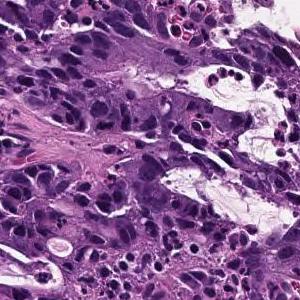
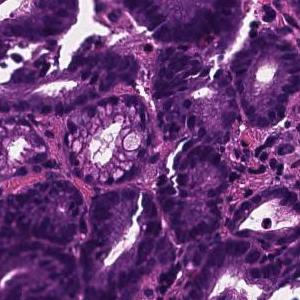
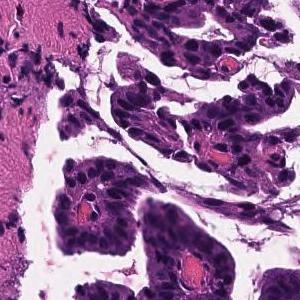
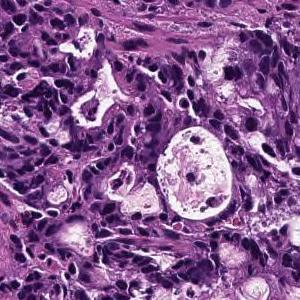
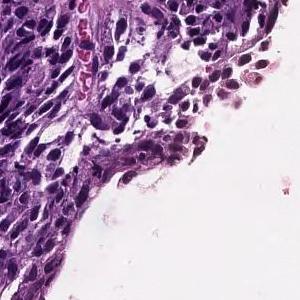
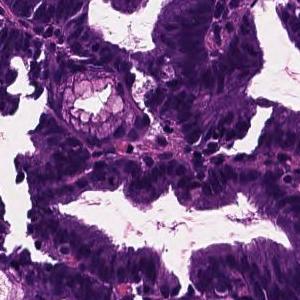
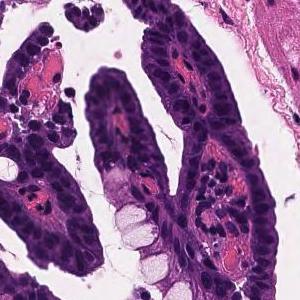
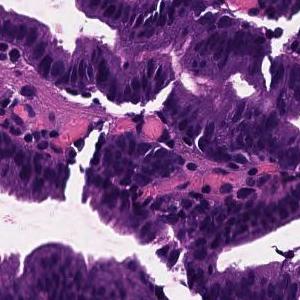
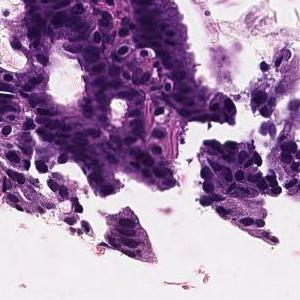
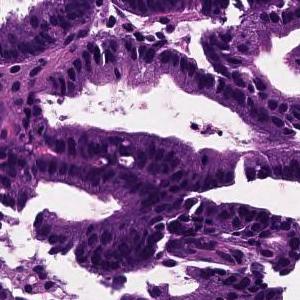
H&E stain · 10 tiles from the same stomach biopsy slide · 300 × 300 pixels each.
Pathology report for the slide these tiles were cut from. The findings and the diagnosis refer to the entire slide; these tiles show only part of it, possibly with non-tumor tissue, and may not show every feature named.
In the superficial epithelium, tumor tissue that invades by forming medium-sized to small, irregular ducts is observed. moderately differentiated tubular adenocarcinoma.
